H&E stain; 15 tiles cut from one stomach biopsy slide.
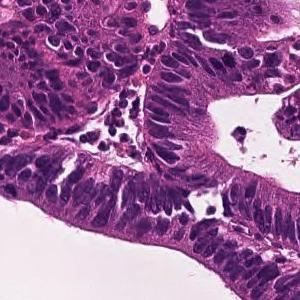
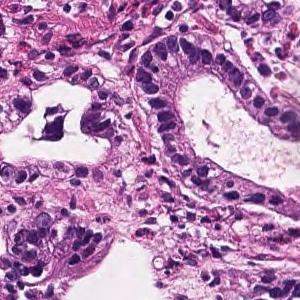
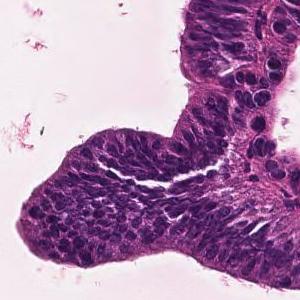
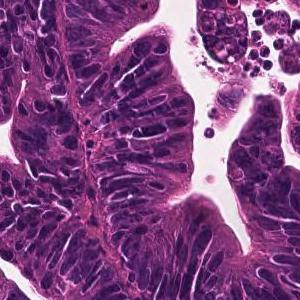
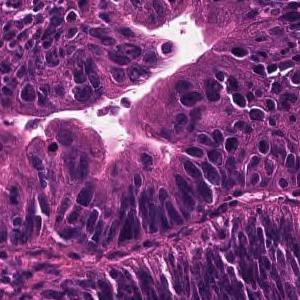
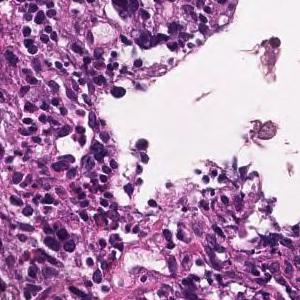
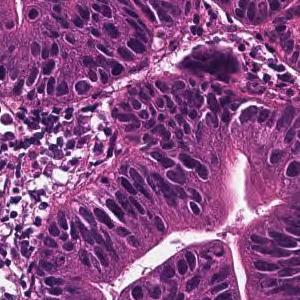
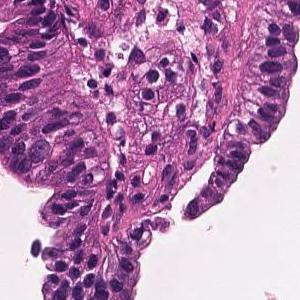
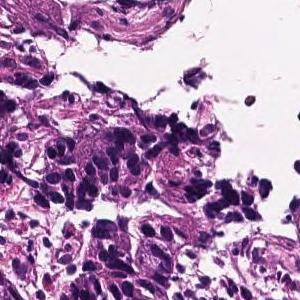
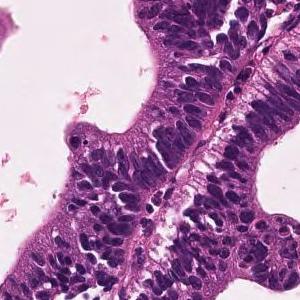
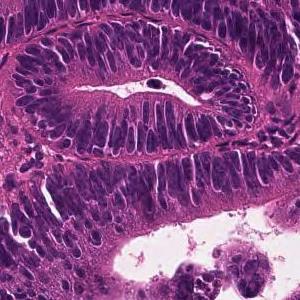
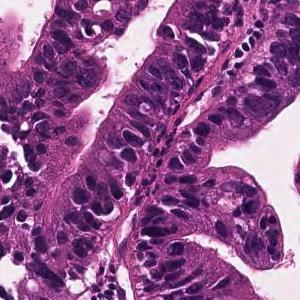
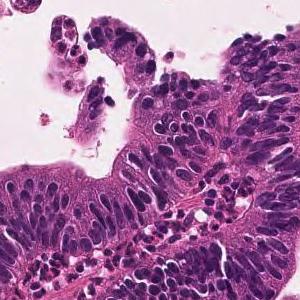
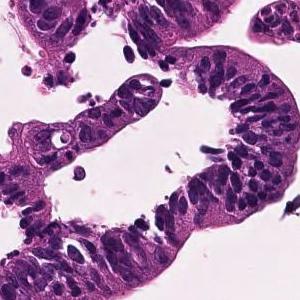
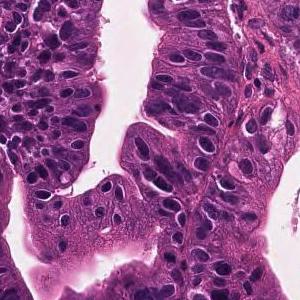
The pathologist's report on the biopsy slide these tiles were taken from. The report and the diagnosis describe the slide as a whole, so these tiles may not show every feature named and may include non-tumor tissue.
A large irregular tubular structure is exhibited in the epithelium, and tumor tissue that partially fuses and infiltrates and proliferates is observed. Large columnar tumor cells exhibit enlarged nucleus, hyperchromatism, and mitotic figures. Well differentiated tubular adenocarcinoma
